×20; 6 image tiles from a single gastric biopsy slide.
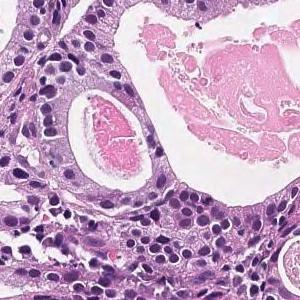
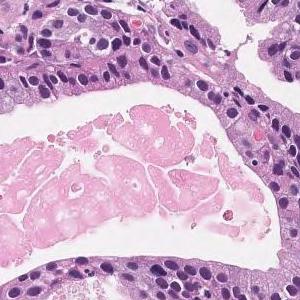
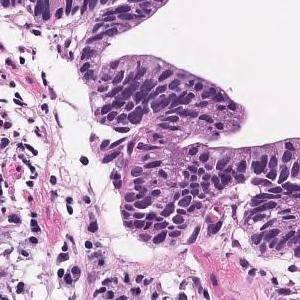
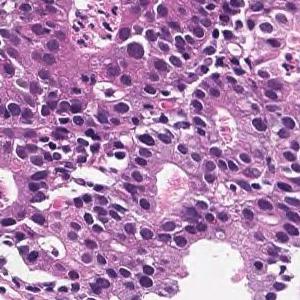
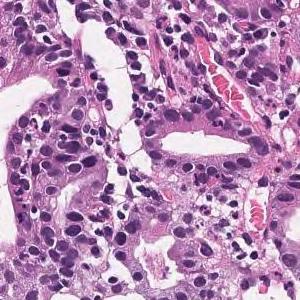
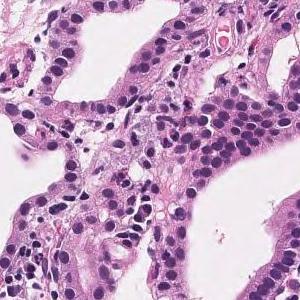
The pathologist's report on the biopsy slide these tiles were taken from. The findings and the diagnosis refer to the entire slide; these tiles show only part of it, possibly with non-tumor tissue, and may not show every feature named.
Medium to small, irregular glandular ducts are formed in the superficial epithelium, and in some cases, the glandular ducts are fused to show solid alveolar lesions and infiltrating tumor tissue is observed. Moderately to poorly differentiated adenocarcinoma.
